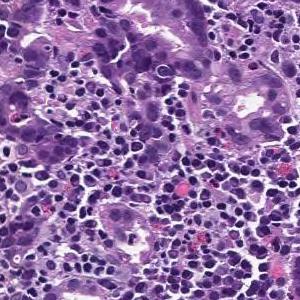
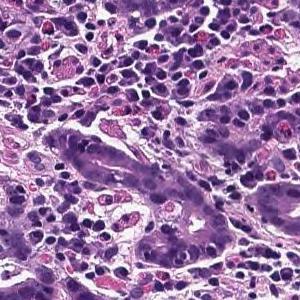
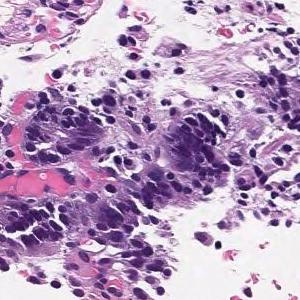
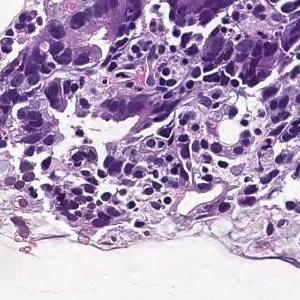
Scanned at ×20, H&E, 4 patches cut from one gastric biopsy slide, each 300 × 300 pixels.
Pathology report for the slide these tiles were cut from. What the report and the diagnosis say applies to the whole slide; these tiles may miss some of the features named and may include tissue that is not tumor.
In the superficial epithelium, tumor tissue that invades by forming medium-sized to small, irregular ducts is observed. moderately differentiated tubular adenocarcinoma.
